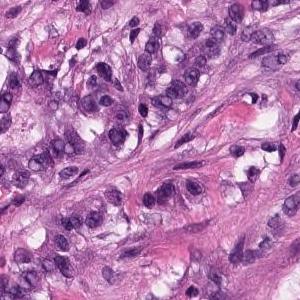
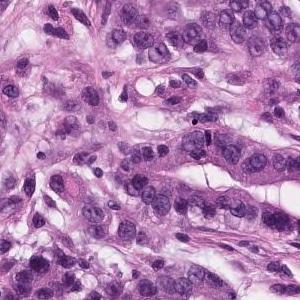
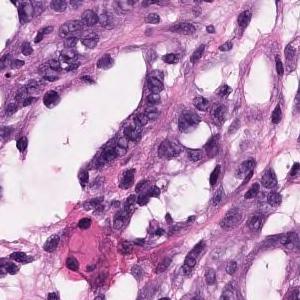
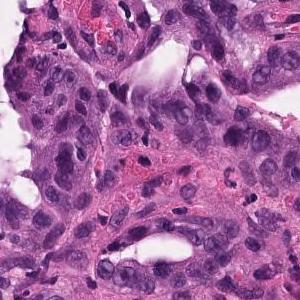
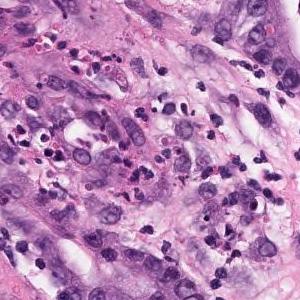
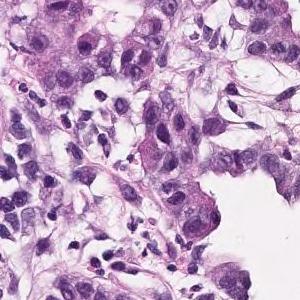
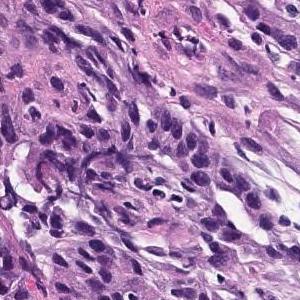
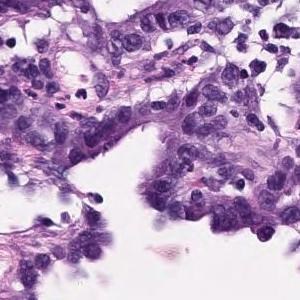
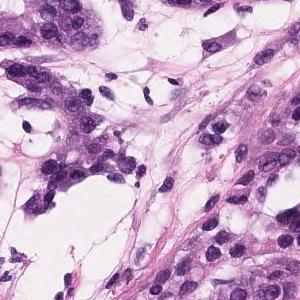
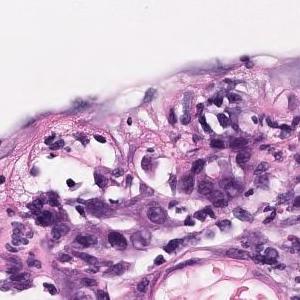
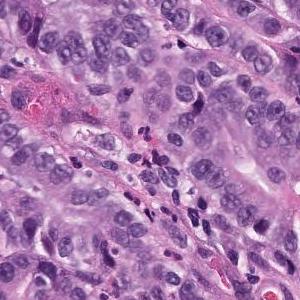
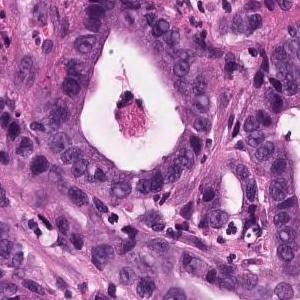
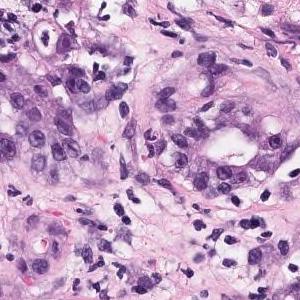
13 tiles cut from one stomach biopsy slide; each 300 × 300 pixels; H&E stain.
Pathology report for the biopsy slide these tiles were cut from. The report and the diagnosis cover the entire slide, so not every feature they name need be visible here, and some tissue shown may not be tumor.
In the superficial epithelium, tumor tissue that invades by forming medium-sized to small, irregular ducts is observed. Moderately differentiated adenocarcinoma.
Histologic type: Moderately differentiated tubular adenocarcinoma.
